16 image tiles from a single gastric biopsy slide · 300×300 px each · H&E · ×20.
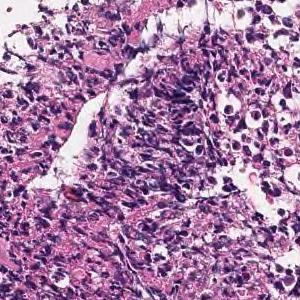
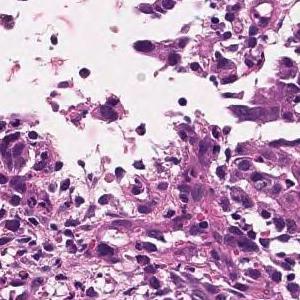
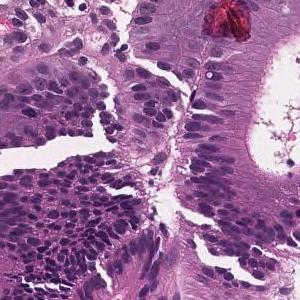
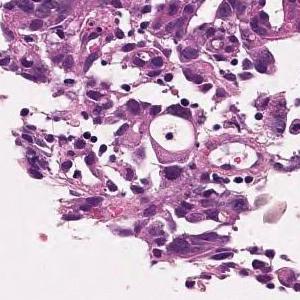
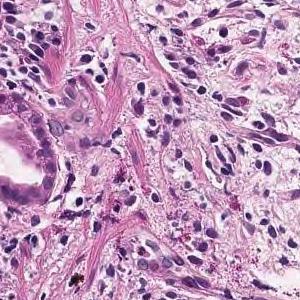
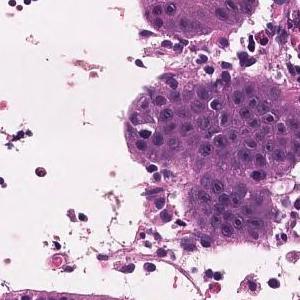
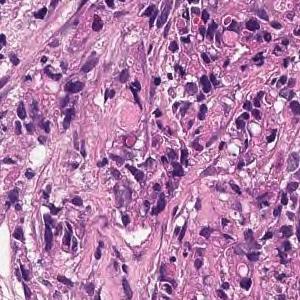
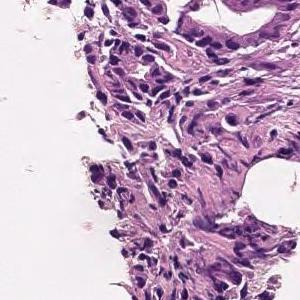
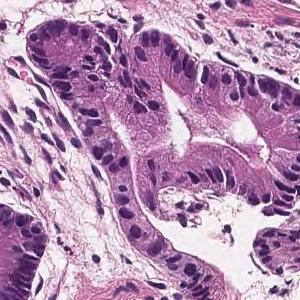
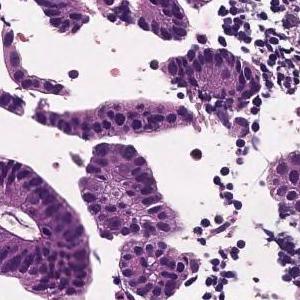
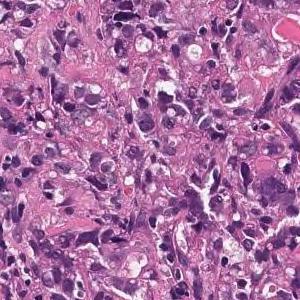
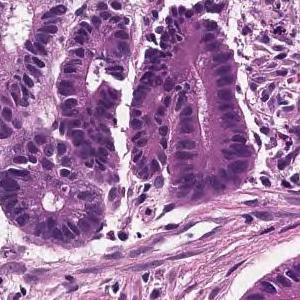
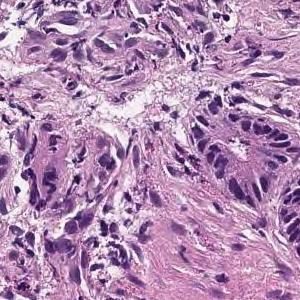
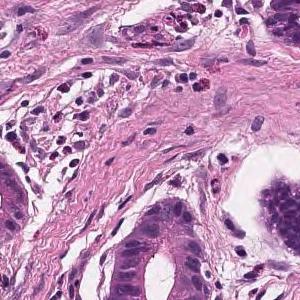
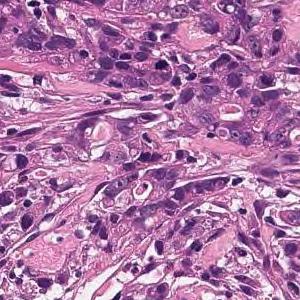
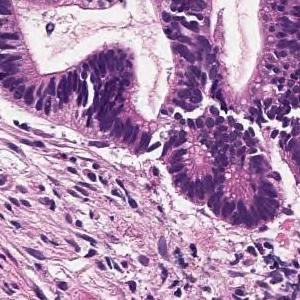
Pathology report for the slide these tiles were cut from. The report and the diagnosis describe the slide as a whole, so these tiles may not show every feature named and may include non-tumor tissue.
Tumor tissue consisting of cord-like or small, irregular glandular ducts fused and infiltrated is observed in the superficial epithelium. Poorly differentiated adenocarcinoma, non-solid type
"Non-solid type" is a category of the Japanese Classification of Gastric Carcinoma.
